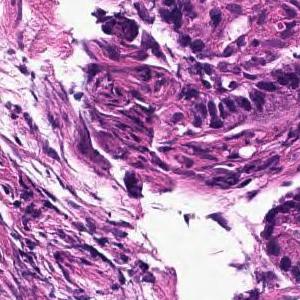
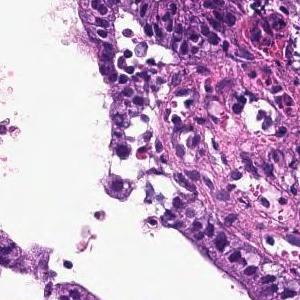
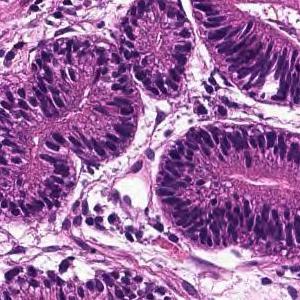
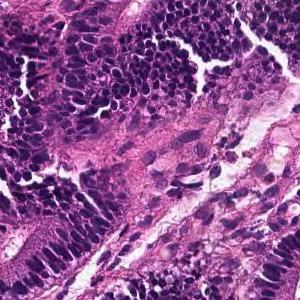
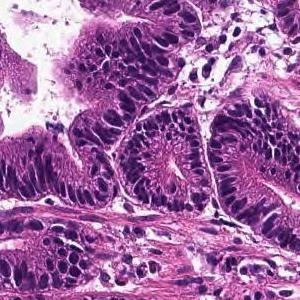
5 tiles from the same stomach biopsy slide, 300×300 px each, H&E, scanned at ×20.
Report on the slide these tiles come from. The report and the diagnosis cover the entire slide, so not every feature they name need be visible here, and some tissue shown may not be tumor.
On the superficial epithelium, tumor tissue that infiltrates by forming medium-sized round or small irregular ducts is observed. Papillary adenocarcinoma
